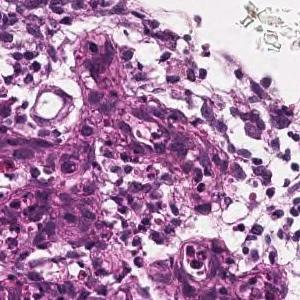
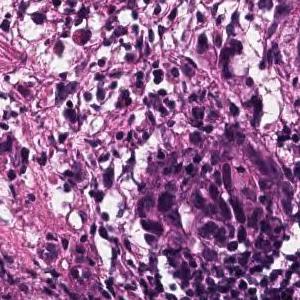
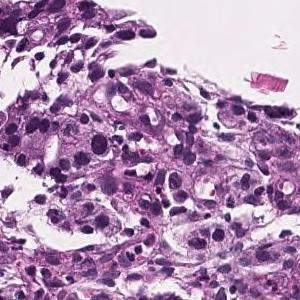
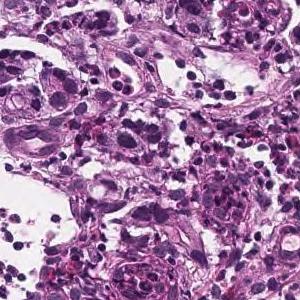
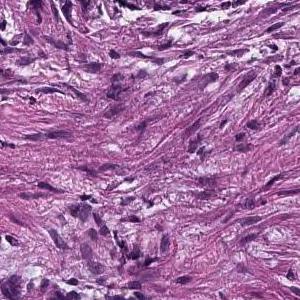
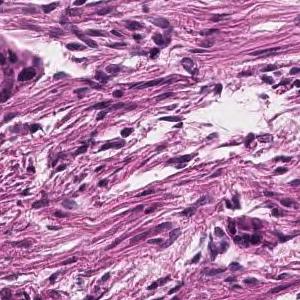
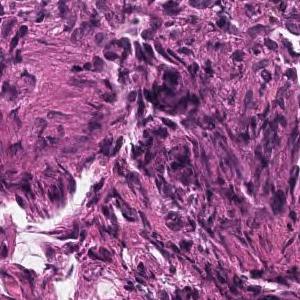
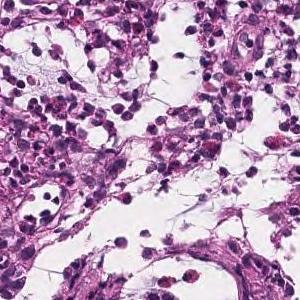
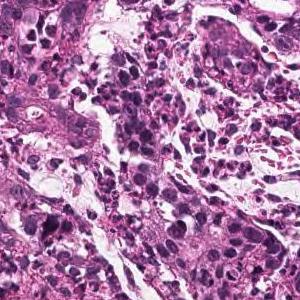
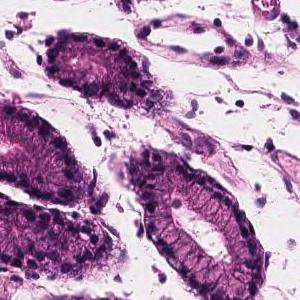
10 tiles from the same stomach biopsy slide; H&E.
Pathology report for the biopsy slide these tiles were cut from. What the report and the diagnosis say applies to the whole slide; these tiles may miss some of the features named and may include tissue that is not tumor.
Atypical epithelial cells form obscure ductal structures or small solid follicles, and tumor tissue that proliferates invasively with proliferation of inflammatory granulation tissue is observed. Mucinous adenocarcinoma .
